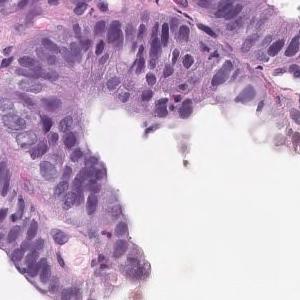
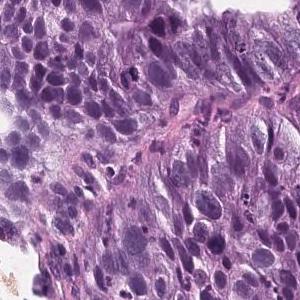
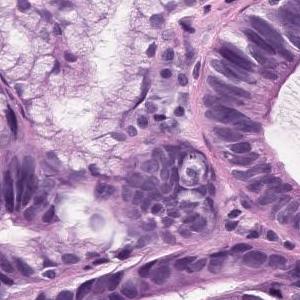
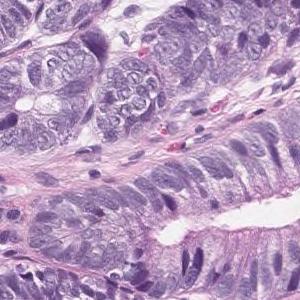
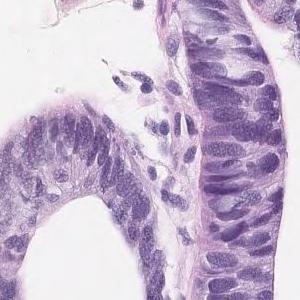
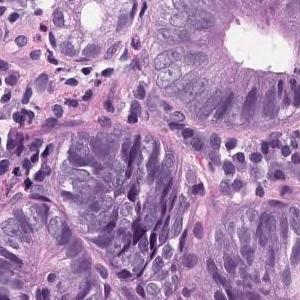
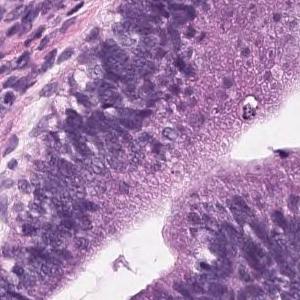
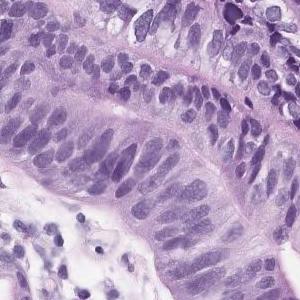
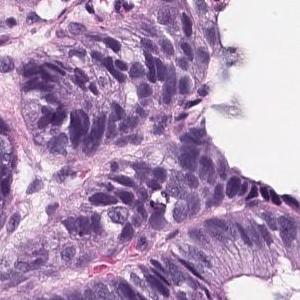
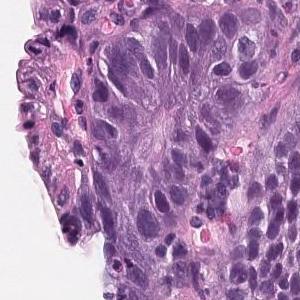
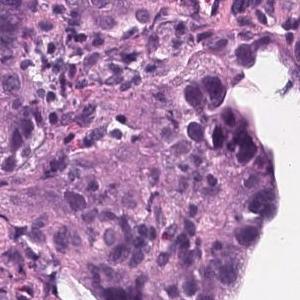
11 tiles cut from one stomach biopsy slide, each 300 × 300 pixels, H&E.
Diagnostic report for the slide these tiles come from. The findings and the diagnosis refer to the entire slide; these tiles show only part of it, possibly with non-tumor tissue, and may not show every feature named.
Tumor tissue consisting of medium-sized and irregular ducts is observed infiltrating in the superficial epithelium. Tumor cells are highly columnar, with nuclei aligned basolaterally and polarized. Well differentiated tubular adenocarcinoma.
